11 image tiles from a single gastric biopsy slide; H&E stain; 20× magnification.
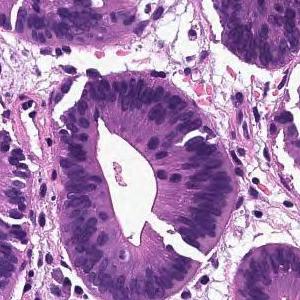
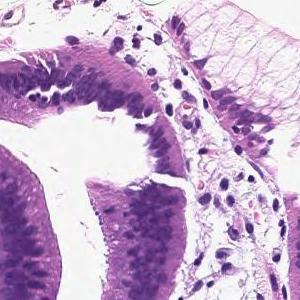
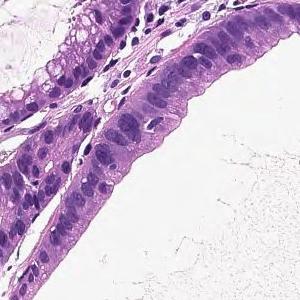
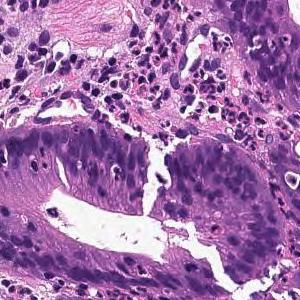
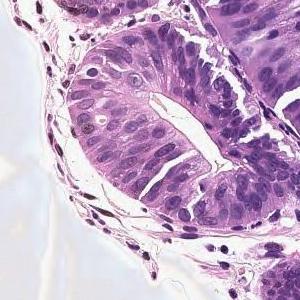
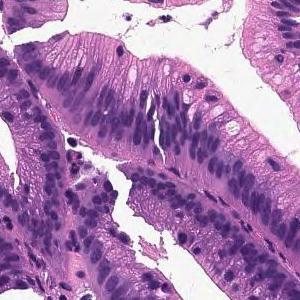
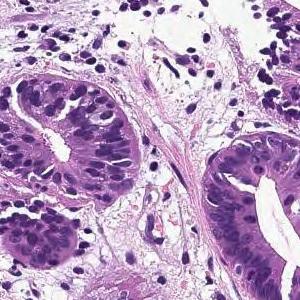
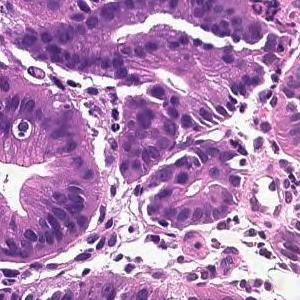
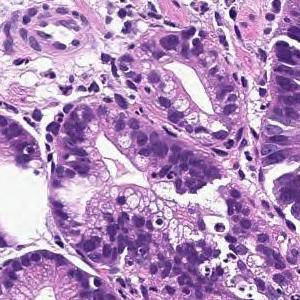
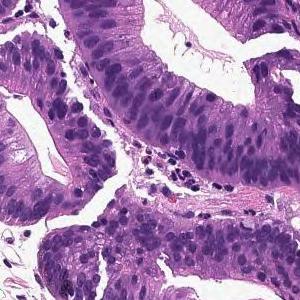
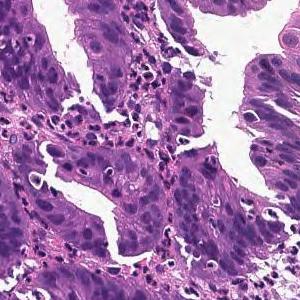
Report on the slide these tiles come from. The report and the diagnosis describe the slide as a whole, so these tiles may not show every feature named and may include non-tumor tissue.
Infiltrating tumor tissue is observed in the superficial epithelium, showing large papillary structures or large and small ducts. Papillary adenocarcinoma
